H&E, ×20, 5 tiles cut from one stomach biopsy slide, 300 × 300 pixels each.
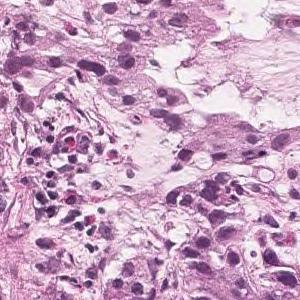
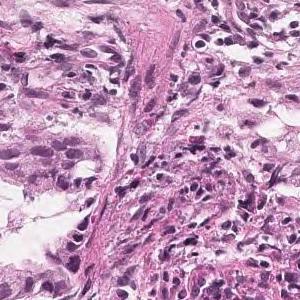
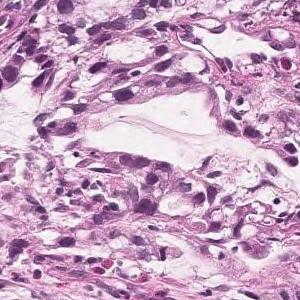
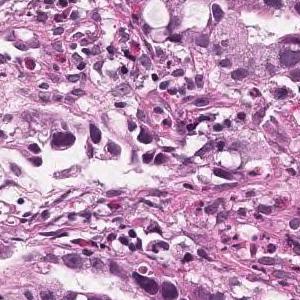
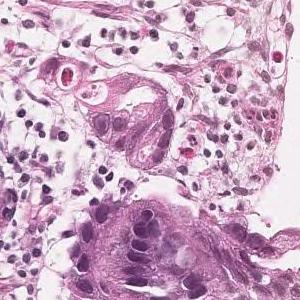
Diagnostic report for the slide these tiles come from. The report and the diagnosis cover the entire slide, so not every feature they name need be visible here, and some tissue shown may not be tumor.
Tumor tissue consisting of medium-sized, cord-like or irregular glandular infiltration is observed in the superficial epithelium. Poorly differentiated adenocarcinoma, non-solid type or moderately differentiated tubular adenocarcinoma
The term "non-solid type" comes from the Japanese Classification of Gastric Carcinoma.
